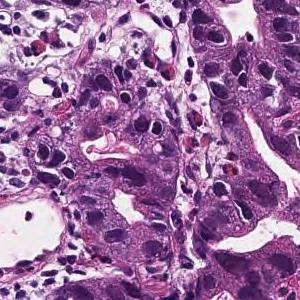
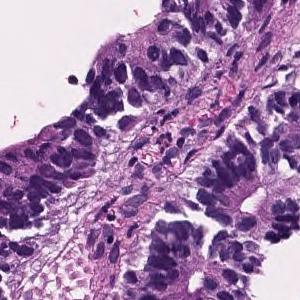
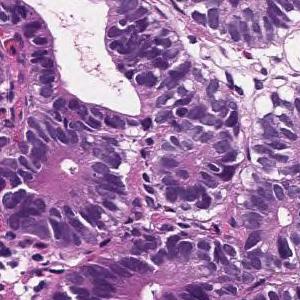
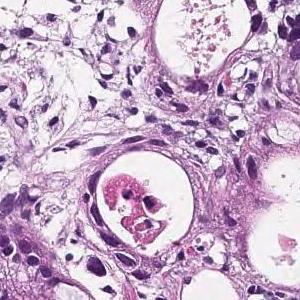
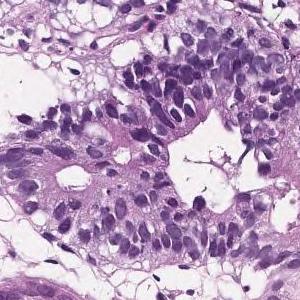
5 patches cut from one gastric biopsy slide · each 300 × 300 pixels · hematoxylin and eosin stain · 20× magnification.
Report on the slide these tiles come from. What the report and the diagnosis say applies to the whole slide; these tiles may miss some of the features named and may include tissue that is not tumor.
On the superficial epithelium, tumor tissue consisting of large, irregular glandular ducts partially fused and infiltrated is observed. Well to moderately differentiated tubular adenocarcinoma (well differentiated tubular adenocarcinoma, moderately differentiated tubular adenocarcinoma)
Histologic type: Well to moderately differentiated tubular adenocarcinoma.
